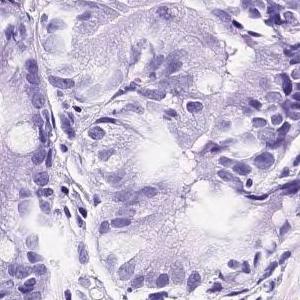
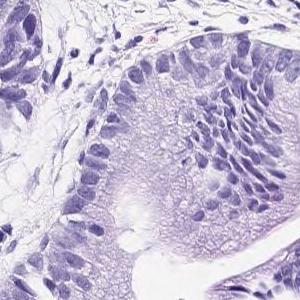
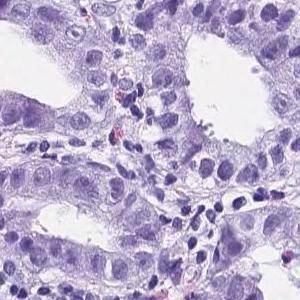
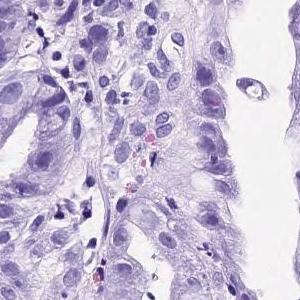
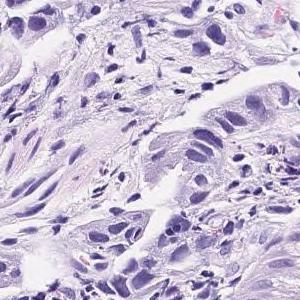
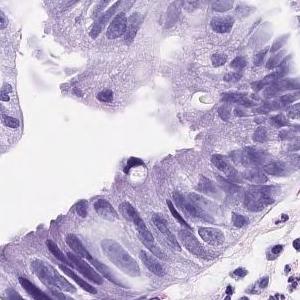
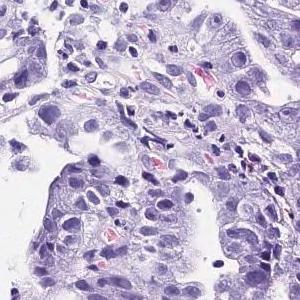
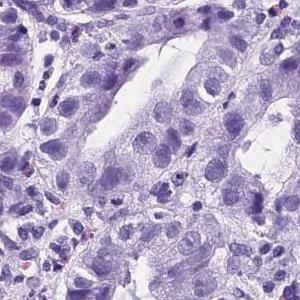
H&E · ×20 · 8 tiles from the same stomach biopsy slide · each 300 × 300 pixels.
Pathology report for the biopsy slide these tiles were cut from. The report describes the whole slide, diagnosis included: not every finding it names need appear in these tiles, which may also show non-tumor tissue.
Tumor tissue consisting of medium-sized and irregular ducts is observed infiltrating in the superficial epithelium. Tumor cells are highly columnar, with nuclei aligned basolaterally and polarized. Well differentiated tubular adenocarcinoma.
